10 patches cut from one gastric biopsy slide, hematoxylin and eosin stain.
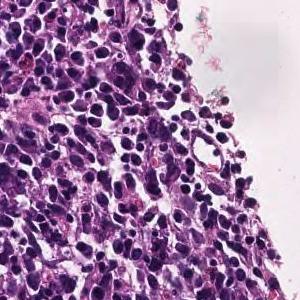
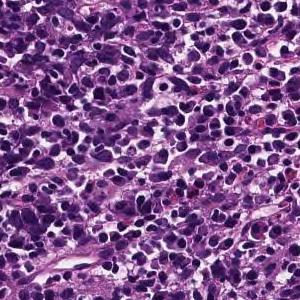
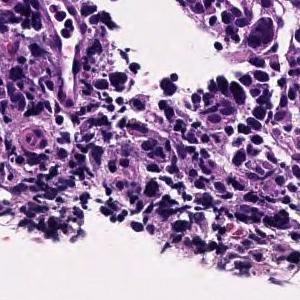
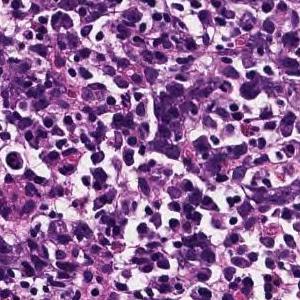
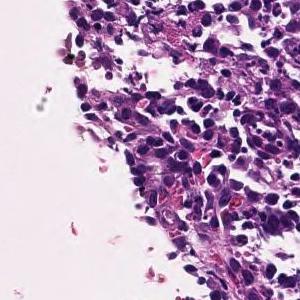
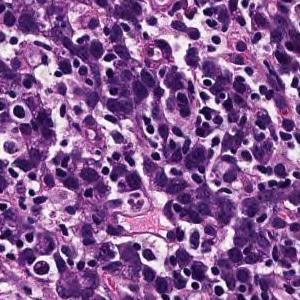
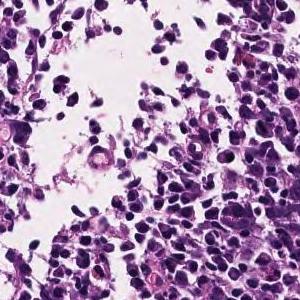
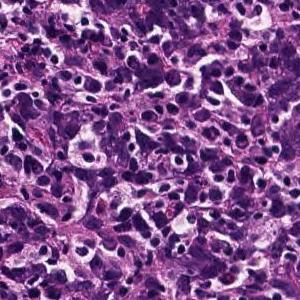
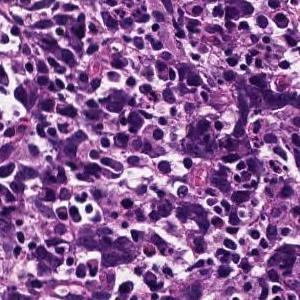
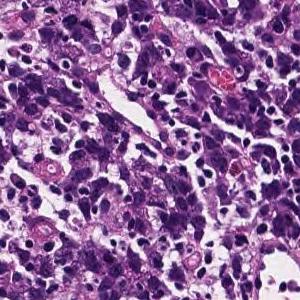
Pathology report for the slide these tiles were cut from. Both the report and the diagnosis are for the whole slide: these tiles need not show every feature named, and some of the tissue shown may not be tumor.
Tumor tissue consisting of cord-like or small, irregular glandular ducts fused and infiltrated is observed in the superficial epithelium. Poorly differentiated adenocarcinoma, non-solid type
The non-solid type named here is a Japanese Classification of Gastric Carcinoma category.
